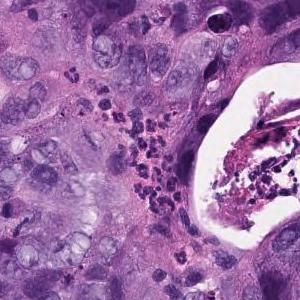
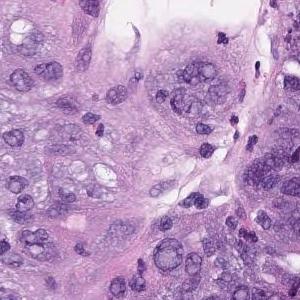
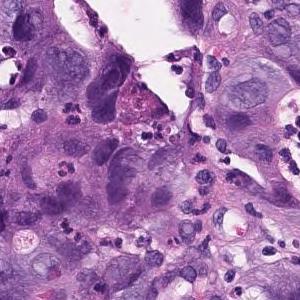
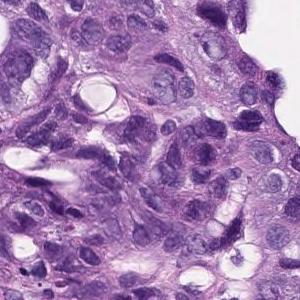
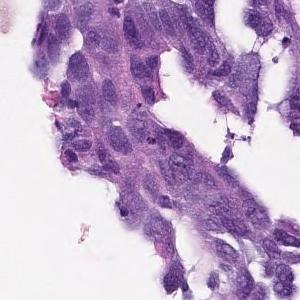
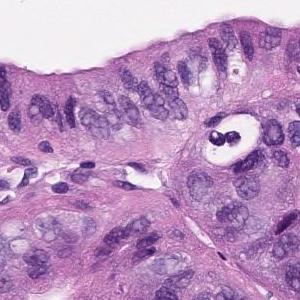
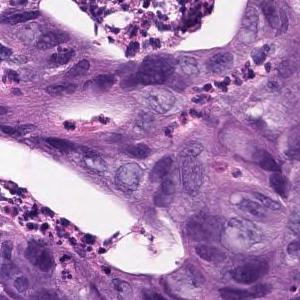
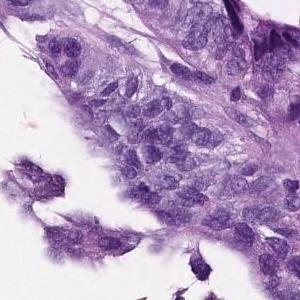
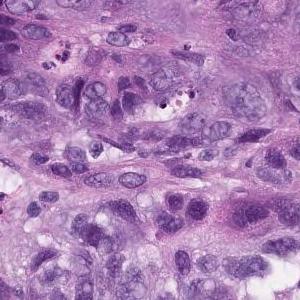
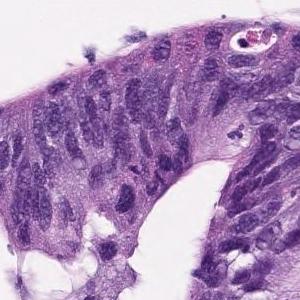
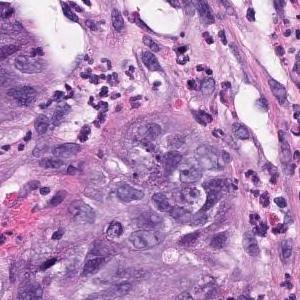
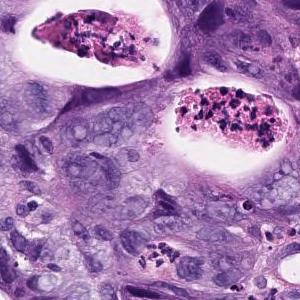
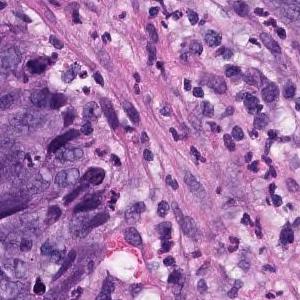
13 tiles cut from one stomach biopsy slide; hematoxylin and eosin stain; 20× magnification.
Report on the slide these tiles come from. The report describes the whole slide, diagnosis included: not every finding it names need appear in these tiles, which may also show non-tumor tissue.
In the superficial epithelium, tumor tissue that invades by forming medium-sized to small, irregular ducts is observed. Moderately differentiated adenocarcinoma.
Histological subtype: Moderately differentiated tubular adenocarcinoma.
